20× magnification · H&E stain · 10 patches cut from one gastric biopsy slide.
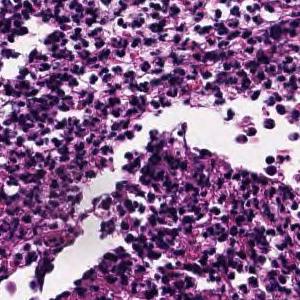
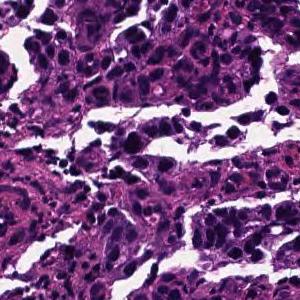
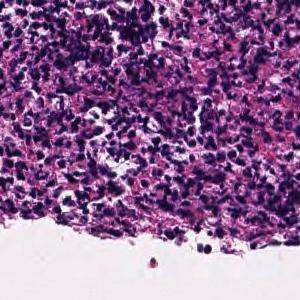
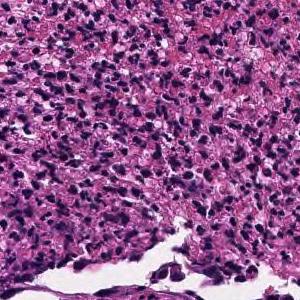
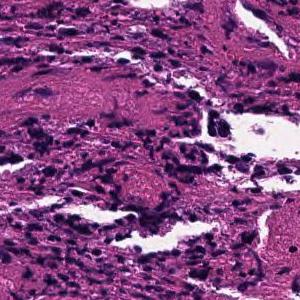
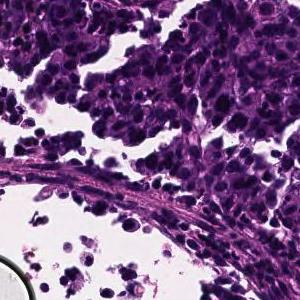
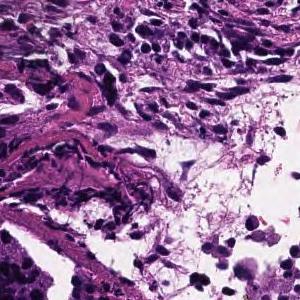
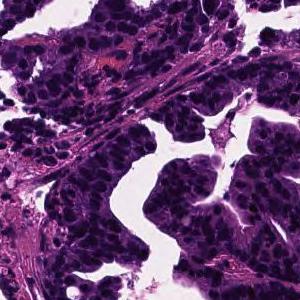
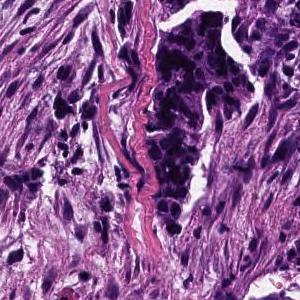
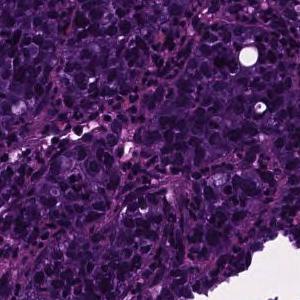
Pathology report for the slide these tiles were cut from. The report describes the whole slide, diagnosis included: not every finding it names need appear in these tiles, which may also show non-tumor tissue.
In the superficial epithelium, tumor tissue that invades by forming medium-sized to small, irregular ducts is observed. moderately differentiated tubular adenocarcinoma.
